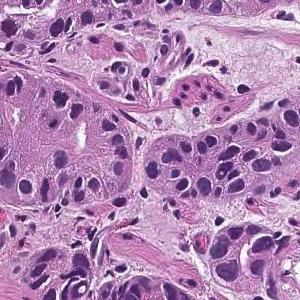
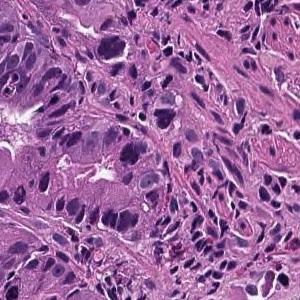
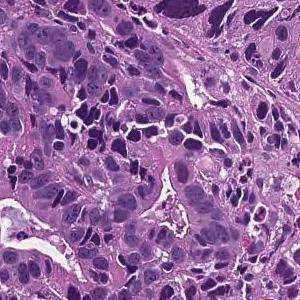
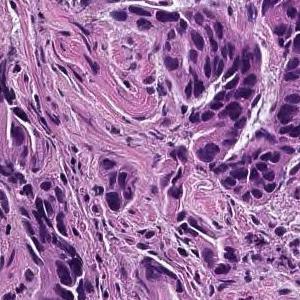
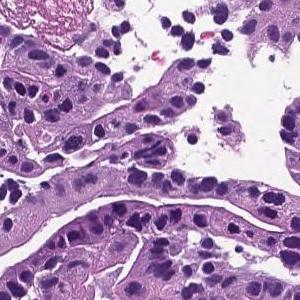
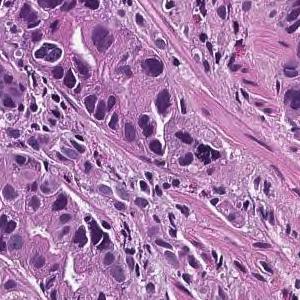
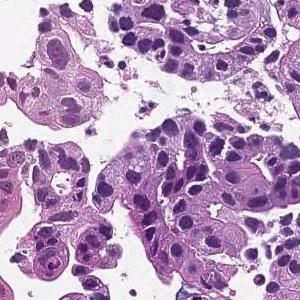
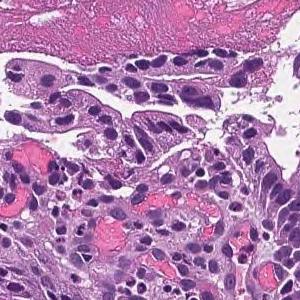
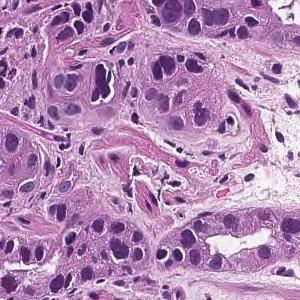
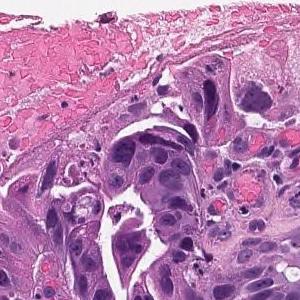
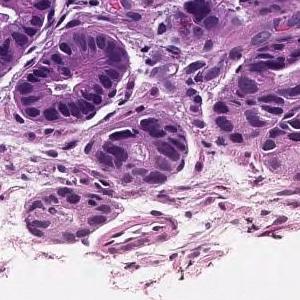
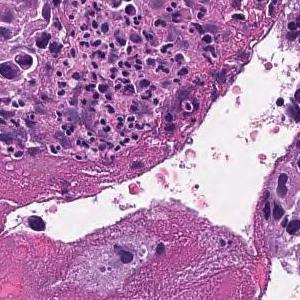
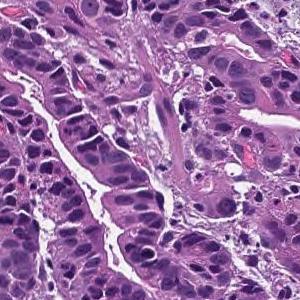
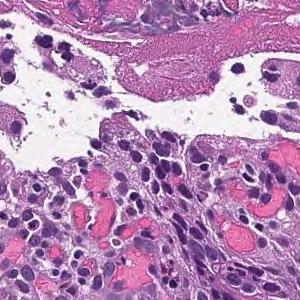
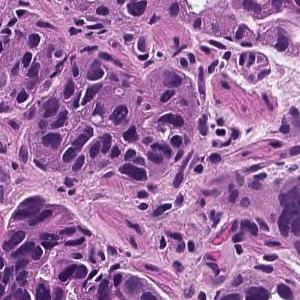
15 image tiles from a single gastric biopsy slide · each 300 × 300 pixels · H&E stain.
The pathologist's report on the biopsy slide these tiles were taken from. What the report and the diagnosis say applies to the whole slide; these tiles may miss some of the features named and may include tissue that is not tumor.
In the superficial epithelium, tumor tissue that invades by forming medium-sized to small, irregular ducts is observed. moderately differentiated tubular adenocarcinoma.
